20× magnification, H&E stain, 7 image tiles from a single gastric biopsy slide.
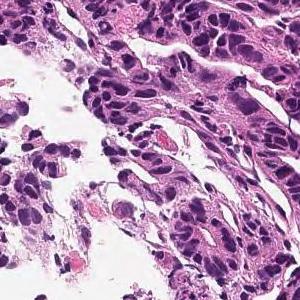
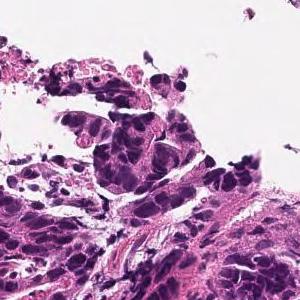
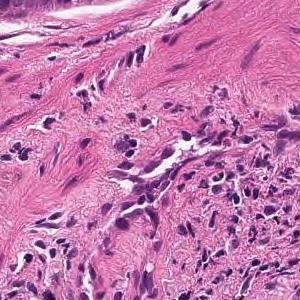
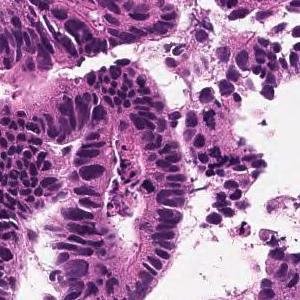
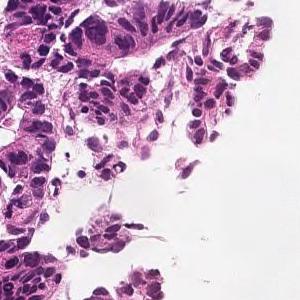
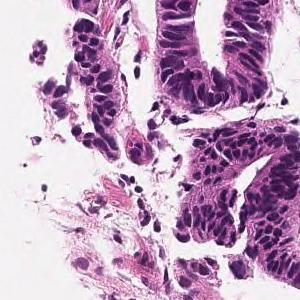
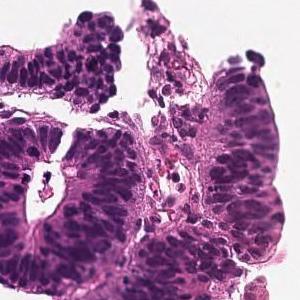
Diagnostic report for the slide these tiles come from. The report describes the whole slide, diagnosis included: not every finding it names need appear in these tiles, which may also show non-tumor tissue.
From the superficial epithelium to the muscularis mucosae, tumor tissue consisting of medium-sized and irregular glandular ducts infiltrating is observed. Well differentiated tubular adenocarcinoma
